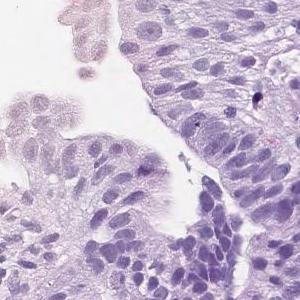
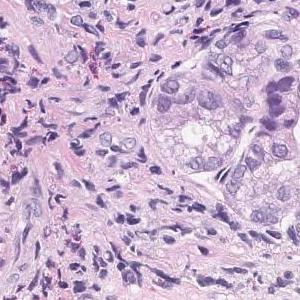
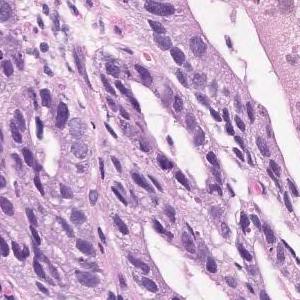
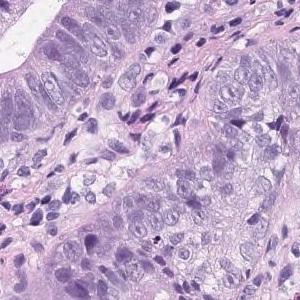
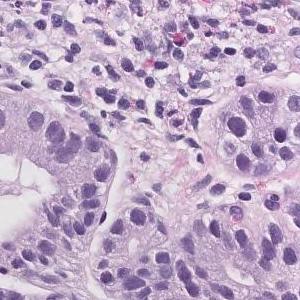
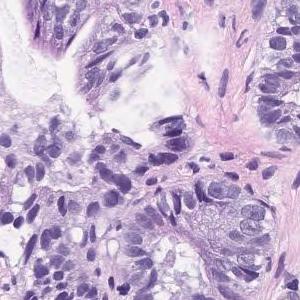
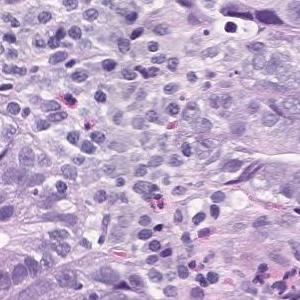
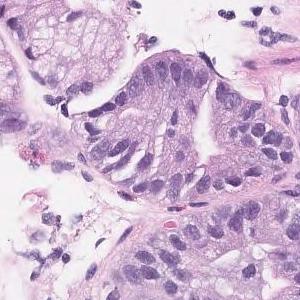
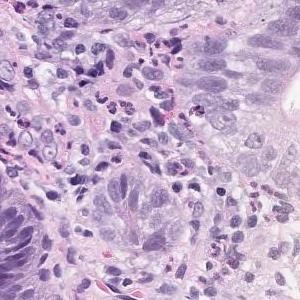
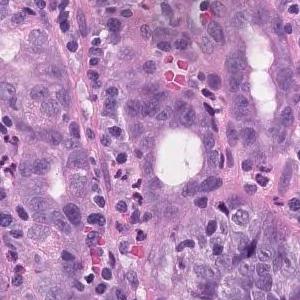
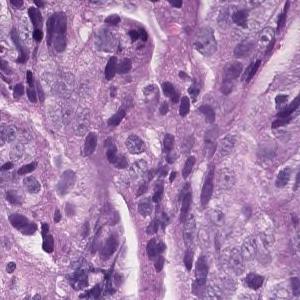
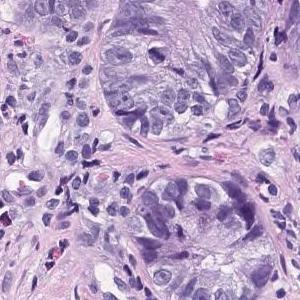
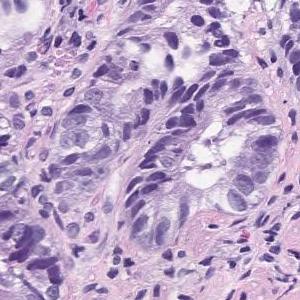
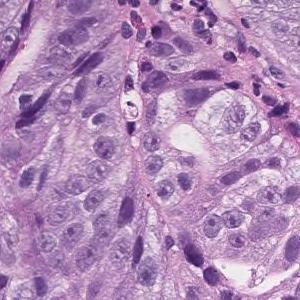
14 patches cut from one gastric biopsy slide; each 300 × 300 pixels; ×20; H&E.
Pathology report for the slide these tiles were cut from. The report and the diagnosis cover the entire slide, so not every feature they name need be visible here, and some tissue shown may not be tumor.
On the superficial epithelium, tumor tissue consisting of medium to small irregular tubules partially fused and proliferated is observed. moderately differentiated tubular adenocarcinoma
